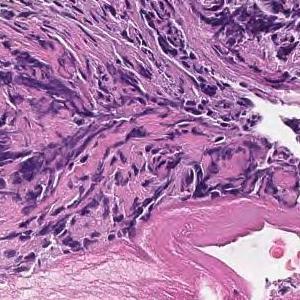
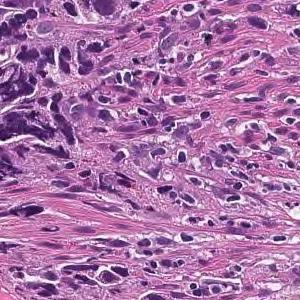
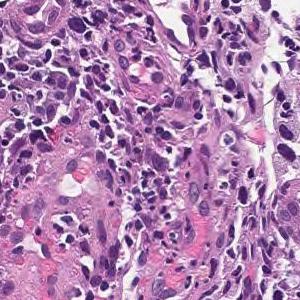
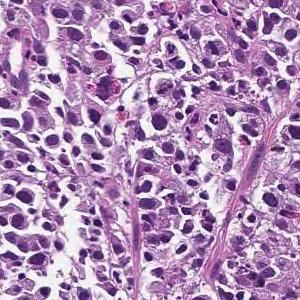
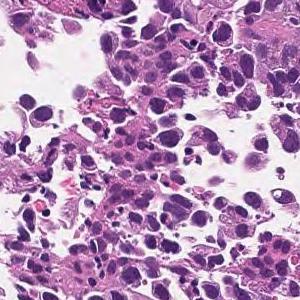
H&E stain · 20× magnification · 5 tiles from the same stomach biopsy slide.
Diagnostic report for the slide these tiles come from. What the report and the diagnosis say applies to the whole slide; these tiles may miss some of the features named and may include tissue that is not tumor.
The superficial epithelium shows a large sheet-like shape, and some tumor tissue infiltrates with small irregular ducts. Poorly differentiated adenocarcinoma, solid-type
Histological subtype: Poorly differentiated adenocarcinoma, solid type (Japanese Classification of Gastric Carcinoma). The WHO 2019 equivalent is tubular adenocarcinoma, poorly differentiated.
